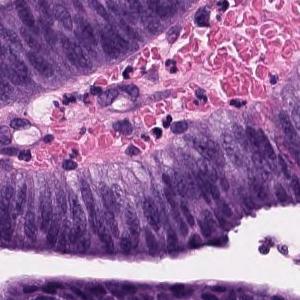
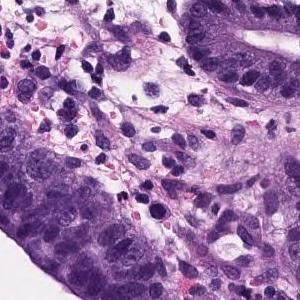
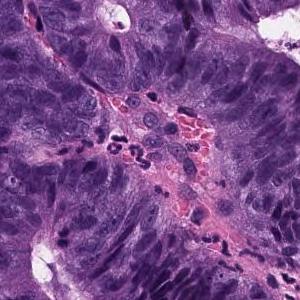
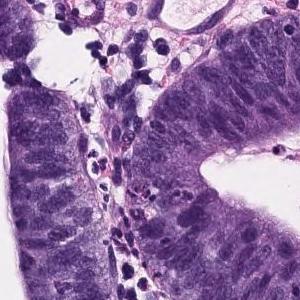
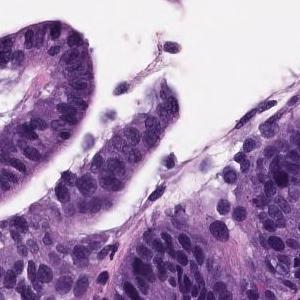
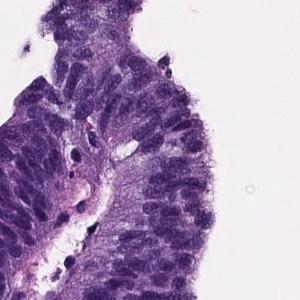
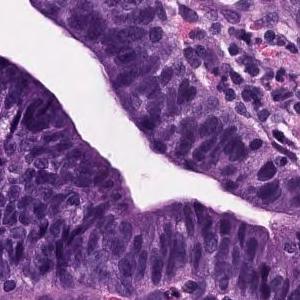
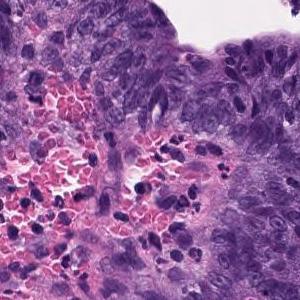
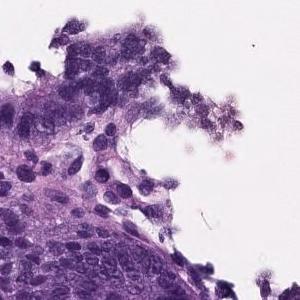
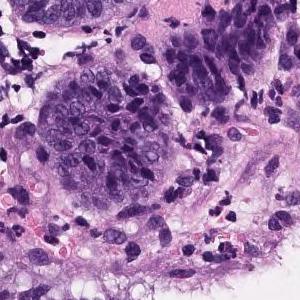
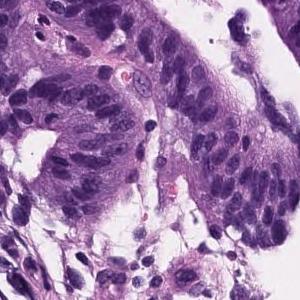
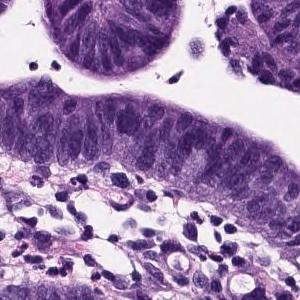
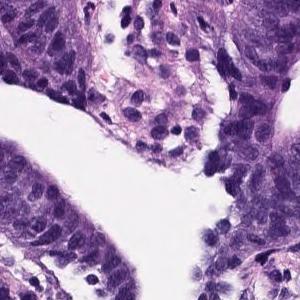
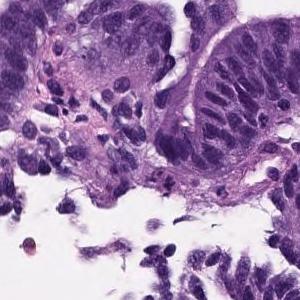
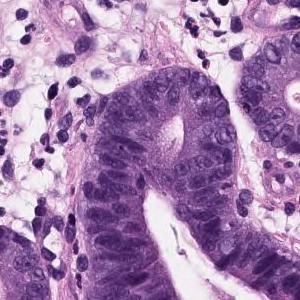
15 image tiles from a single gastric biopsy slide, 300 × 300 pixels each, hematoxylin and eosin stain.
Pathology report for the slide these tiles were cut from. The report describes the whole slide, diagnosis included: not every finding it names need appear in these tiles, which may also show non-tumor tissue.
Papillo-tubular growth of atypical tubules with nuclear swelling is observed. Well differentiated tubular adenocarcinoma
